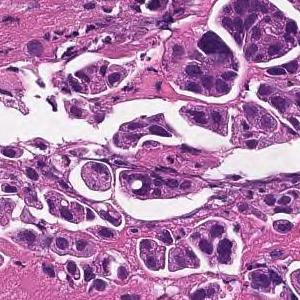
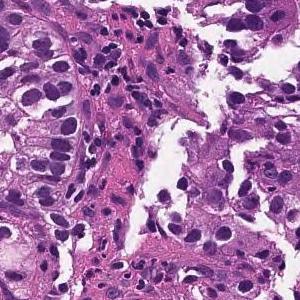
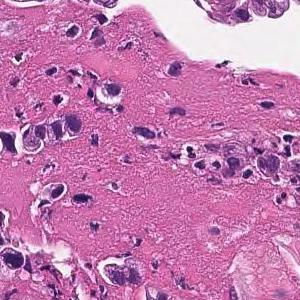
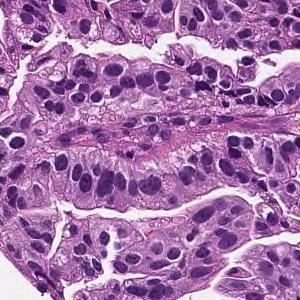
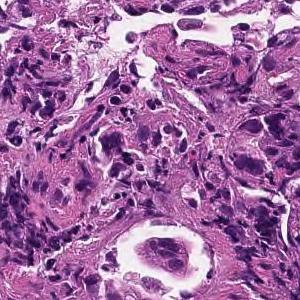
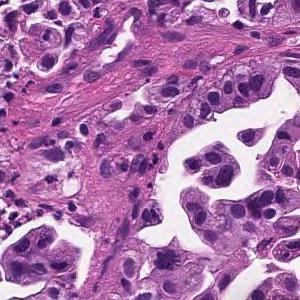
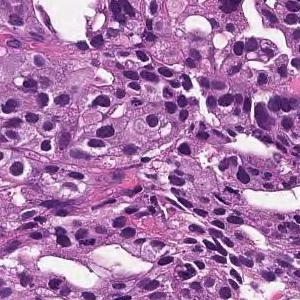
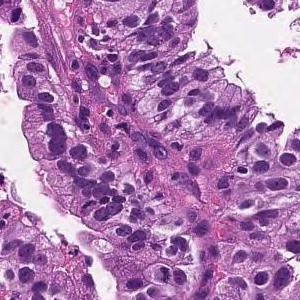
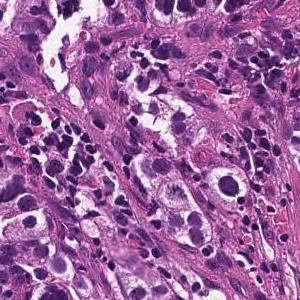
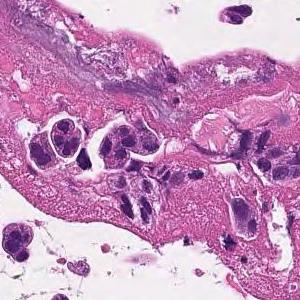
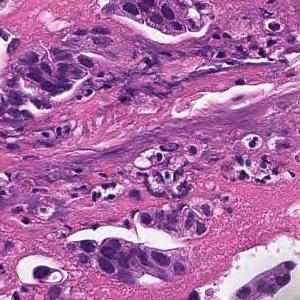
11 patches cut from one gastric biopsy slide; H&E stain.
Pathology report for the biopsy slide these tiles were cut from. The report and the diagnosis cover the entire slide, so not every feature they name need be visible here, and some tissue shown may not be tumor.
Medium to small, irregular glandular ducts are formed in the superficial epithelium, and in some cases, the glandular ducts are fused to show solid alveolar lesions and infiltrating tumor tissue is observed. Moderately to poorly differentiated adenocarcinoma.
